H&E, ×20, 14 tiles from the same stomach biopsy slide, 300×300 px each.
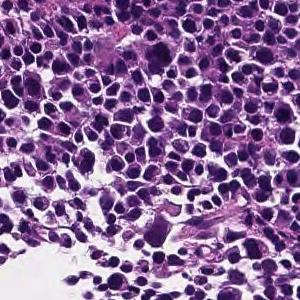
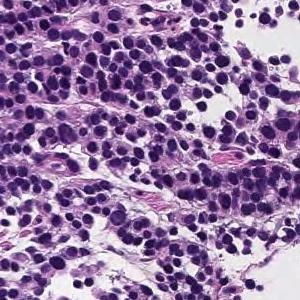
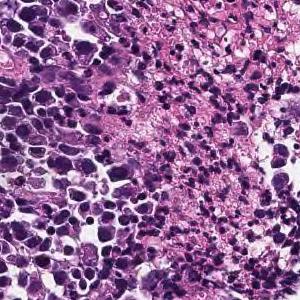
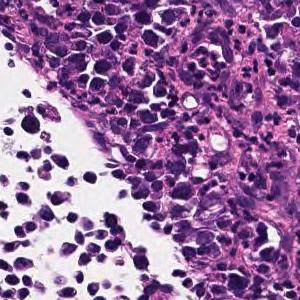
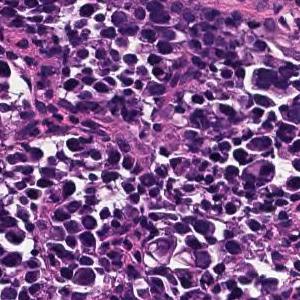
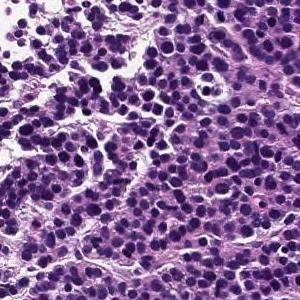
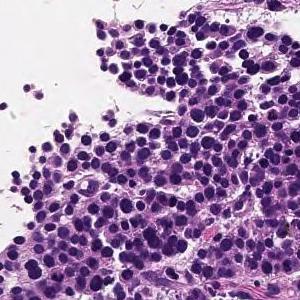
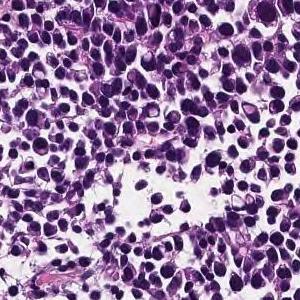
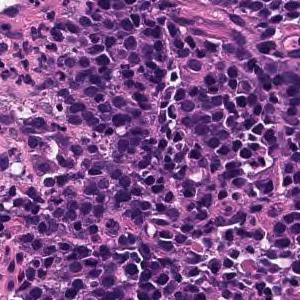
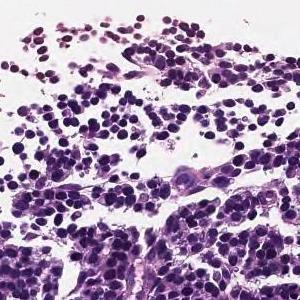
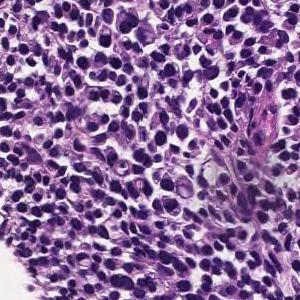
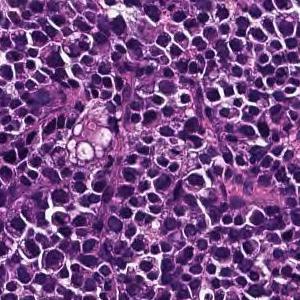
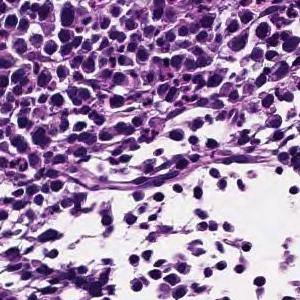
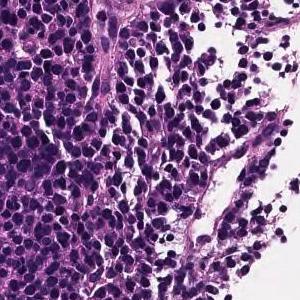
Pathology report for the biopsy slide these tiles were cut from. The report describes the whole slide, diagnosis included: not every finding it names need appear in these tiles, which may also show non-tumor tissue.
Large sheet-like or diffusely infiltrating tumor tissue is found in the superficial epithelium. Poorly differentiated adenocarcinoma, solid-type
Tumor subtype: poorly differentiated adenocarcinoma, solid type, a category of the Japanese Classification of Gastric Carcinoma; in the WHO 2019 classification it is tubular adenocarcinoma, poorly differentiated.
